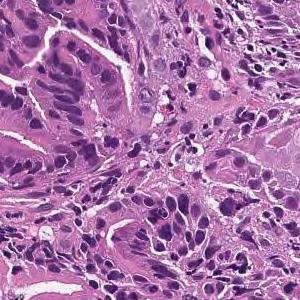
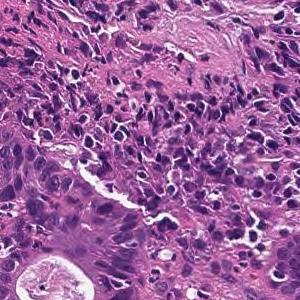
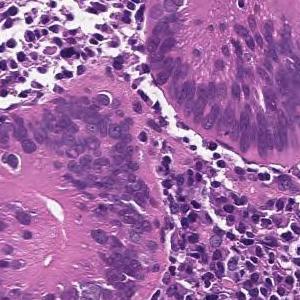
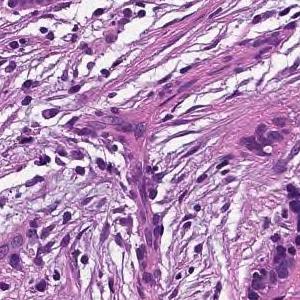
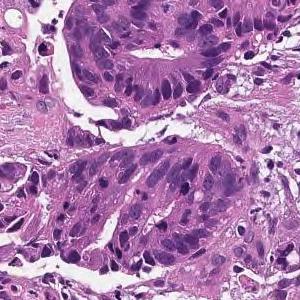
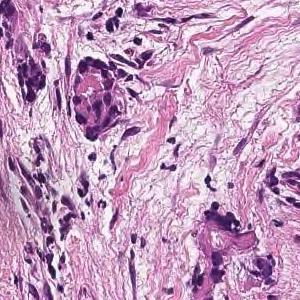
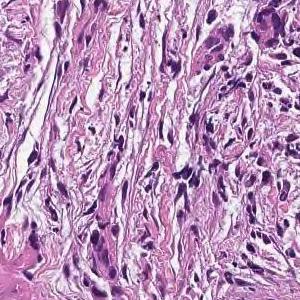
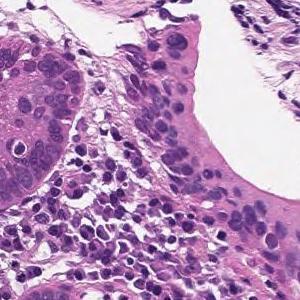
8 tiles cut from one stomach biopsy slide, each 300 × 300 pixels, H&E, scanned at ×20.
Pathology report for the biopsy slide these tiles were cut from. The report describes the whole slide, diagnosis included: not every finding it names need appear in these tiles, which may also show non-tumor tissue.
From the superficial epithelium to the muscularis mucosae, tumor tissue consisting of medium-sized and irregular glandular ducts infiltrating is observed. Well differentiated tubular adenocarcinoma
